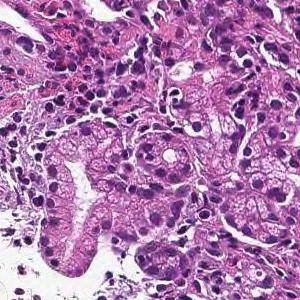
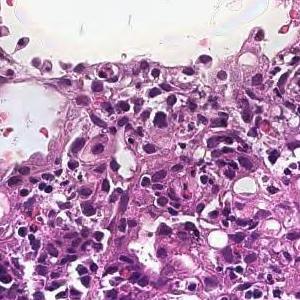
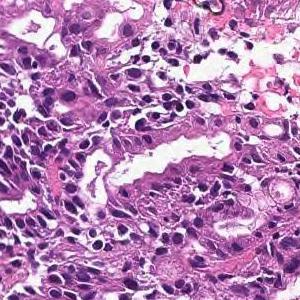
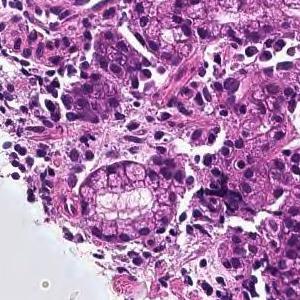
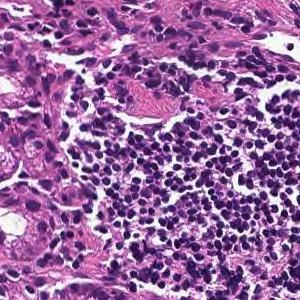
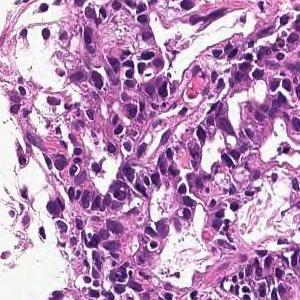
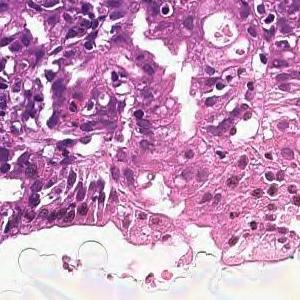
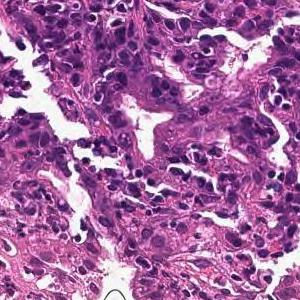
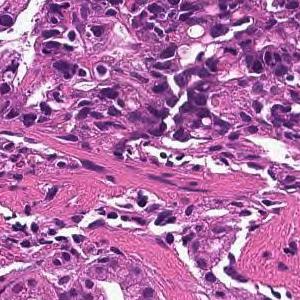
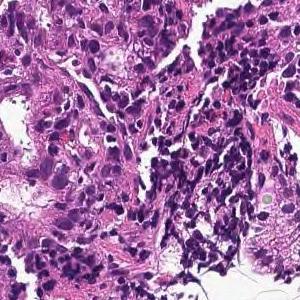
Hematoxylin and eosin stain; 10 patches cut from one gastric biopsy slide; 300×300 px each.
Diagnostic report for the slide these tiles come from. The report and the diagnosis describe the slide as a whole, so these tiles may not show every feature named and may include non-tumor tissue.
In the superficial epithelium, tumor tissue that invades by forming medium-sized to small, irregular ducts is observed. moderately differentiated tubular adenocarcinoma.
